H&E stain · 7 tiles from the same stomach biopsy slide · each 300 × 300 pixels.
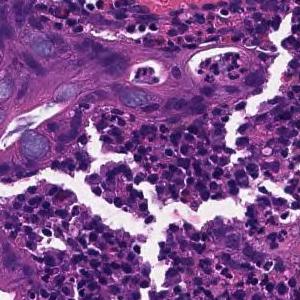
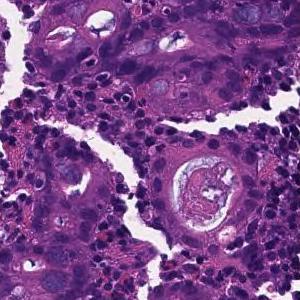
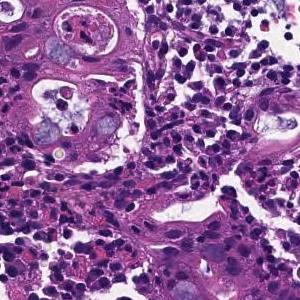
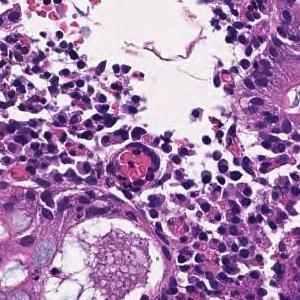
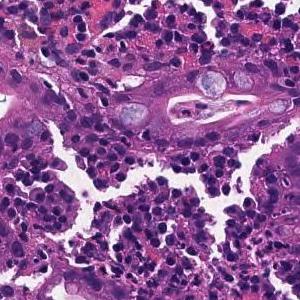
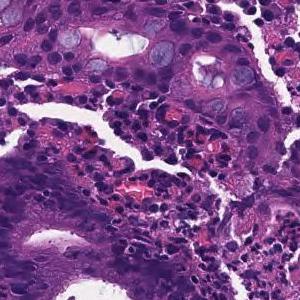
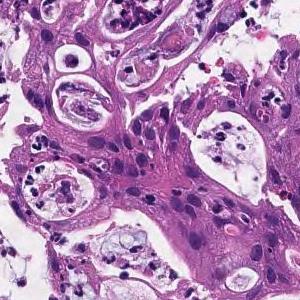
Pathology report for the slide these tiles were cut from. The report and the diagnosis describe the slide as a whole, so these tiles may not show every feature named and may include non-tumor tissue.
In the superficial epithelium, tumor tissue that invades by forming medium-sized to small, irregular ducts is observed. moderately differentiated tubular adenocarcinoma.
